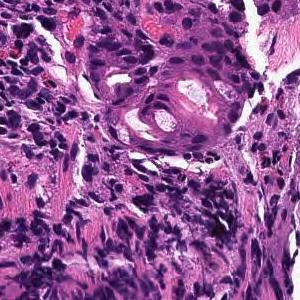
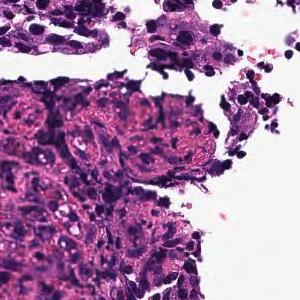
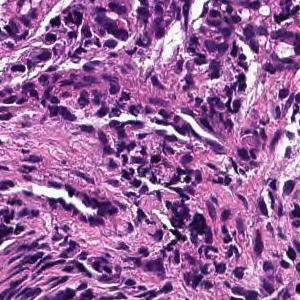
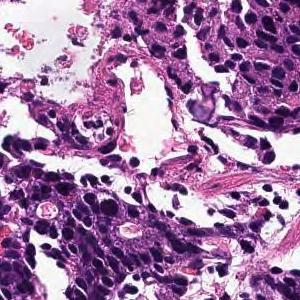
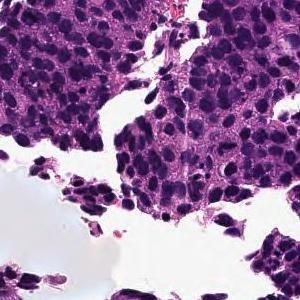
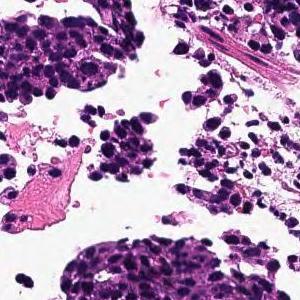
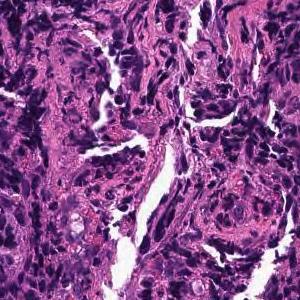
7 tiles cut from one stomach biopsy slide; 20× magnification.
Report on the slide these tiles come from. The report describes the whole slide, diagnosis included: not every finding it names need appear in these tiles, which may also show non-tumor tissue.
In the superficial epithelium, tumor tissue that invades by forming medium-sized to small, irregular ducts is observed. moderately differentiated tubular adenocarcinoma.
